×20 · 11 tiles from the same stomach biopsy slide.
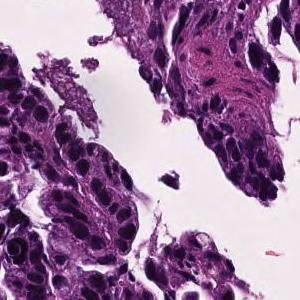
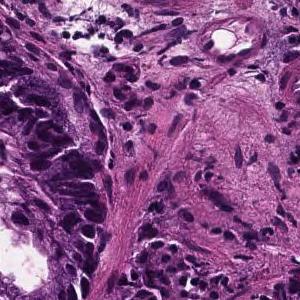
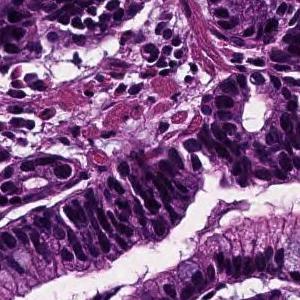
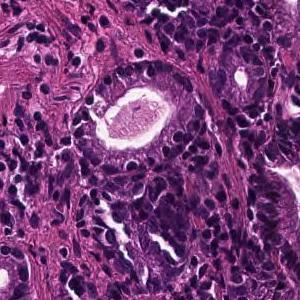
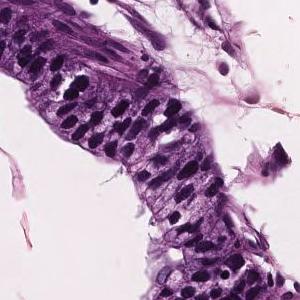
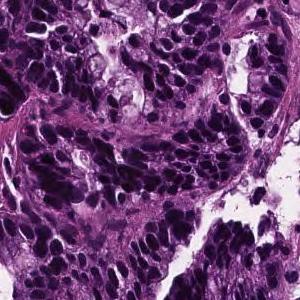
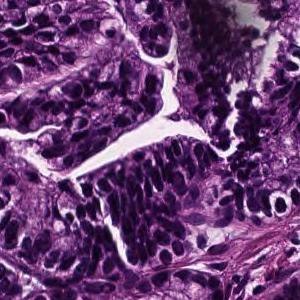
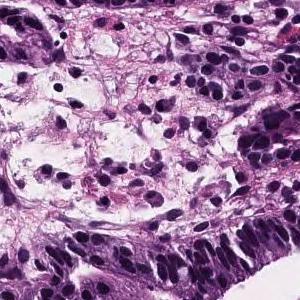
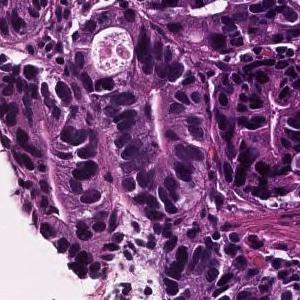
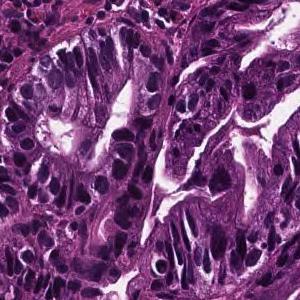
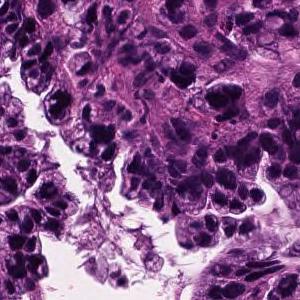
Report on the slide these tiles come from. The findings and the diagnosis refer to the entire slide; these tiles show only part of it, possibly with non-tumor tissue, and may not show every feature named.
In the superficial epithelium, tumor tissue that invades by forming medium-sized to small, irregular ducts is observed. Well differentiated tubular adenocarcinoma.
